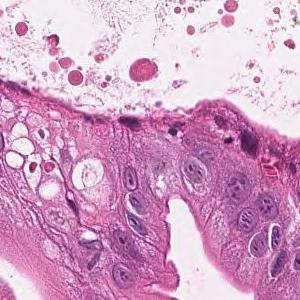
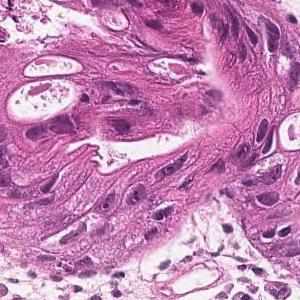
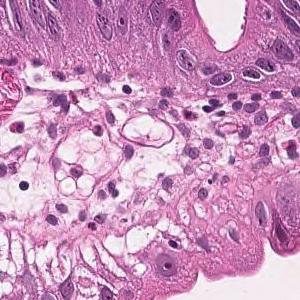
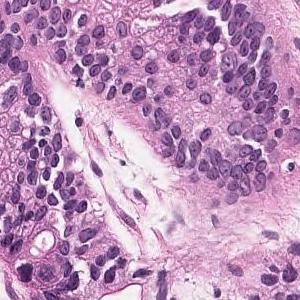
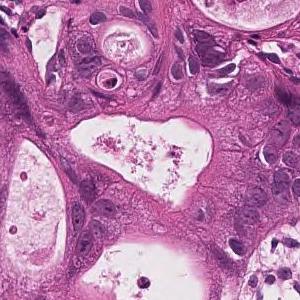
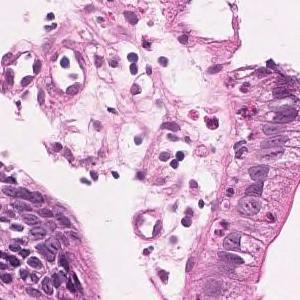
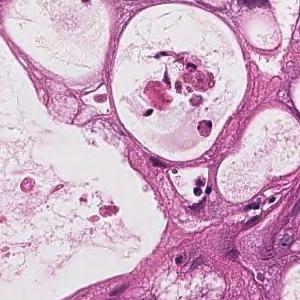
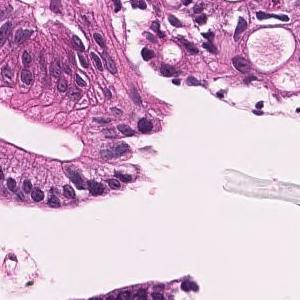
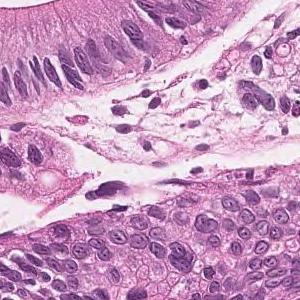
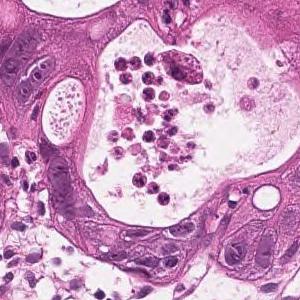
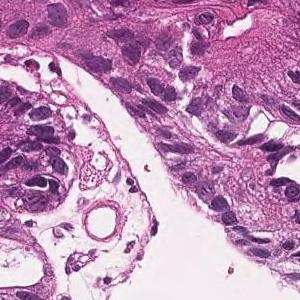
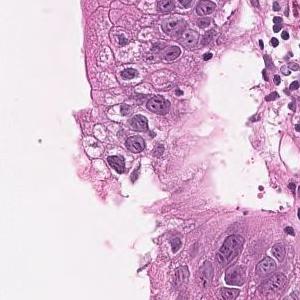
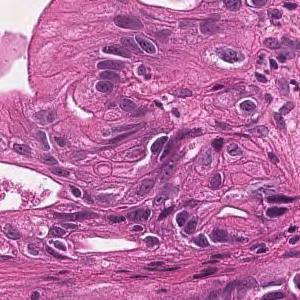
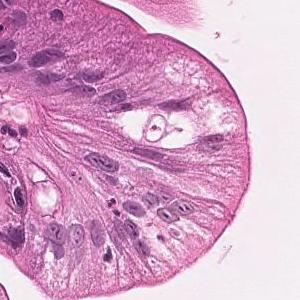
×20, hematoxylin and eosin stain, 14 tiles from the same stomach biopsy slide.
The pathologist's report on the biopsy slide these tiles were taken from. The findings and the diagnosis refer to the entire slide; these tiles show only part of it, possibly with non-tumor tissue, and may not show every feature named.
On the superficial epithelium, tumor tissue that infiltrates by forming medium-sized papillary or small irregular ducts is observed. Papillary adenocarcinoma
